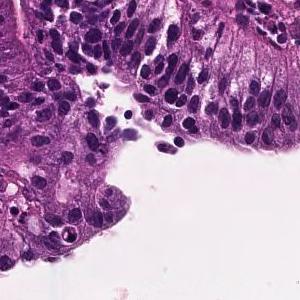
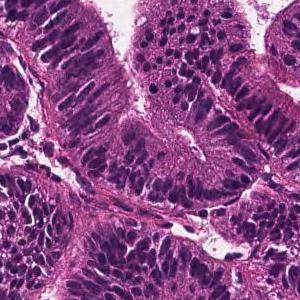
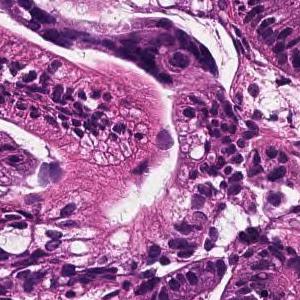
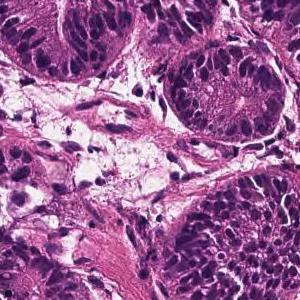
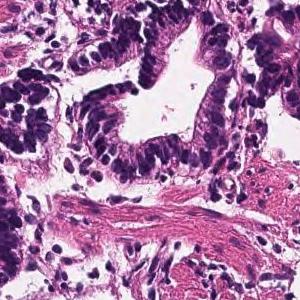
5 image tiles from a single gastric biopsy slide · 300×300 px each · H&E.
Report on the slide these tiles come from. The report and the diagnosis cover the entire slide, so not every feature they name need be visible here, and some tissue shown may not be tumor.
A large irregular tubular structure is exhibited in the epithelium, and tumor tissue that partially fuses and infiltrates and proliferates is observed. Large columnar tumor cells exhibit enlarged nucleus, hyperchromatism, and mitotic figures. Well differentiated tubular adenocarcinoma
